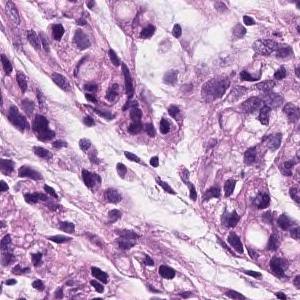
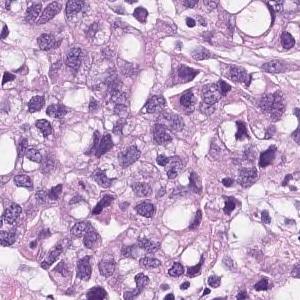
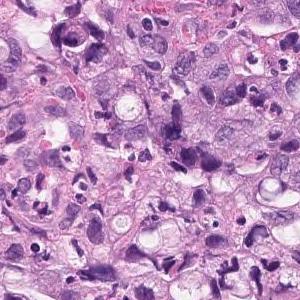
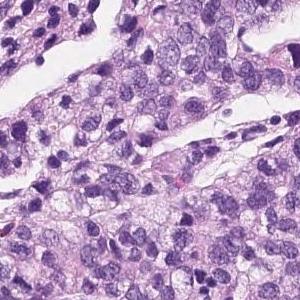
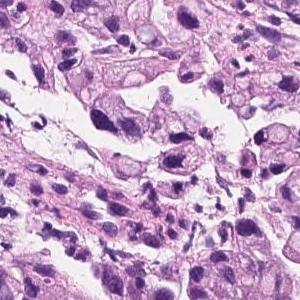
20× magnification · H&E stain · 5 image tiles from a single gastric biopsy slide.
Diagnostic report for the slide these tiles come from. The report and the diagnosis describe the slide as a whole, so these tiles may not show every feature named and may include non-tumor tissue.
Group 5, Adenocarcinoma. Poorly differentiated adenocarcinoma, non-solid type
The non-solid type named here is a Japanese Classification of Gastric Carcinoma category.
